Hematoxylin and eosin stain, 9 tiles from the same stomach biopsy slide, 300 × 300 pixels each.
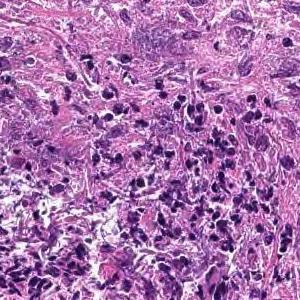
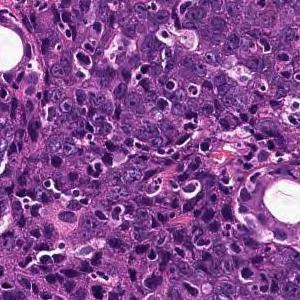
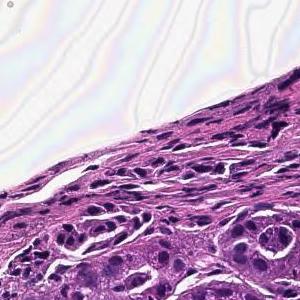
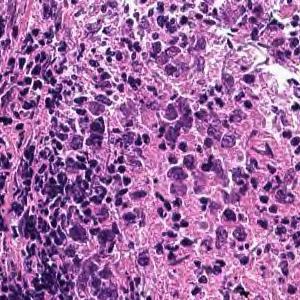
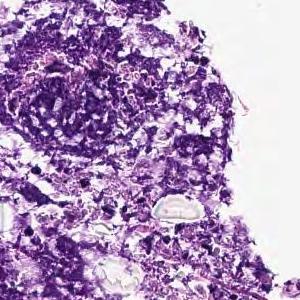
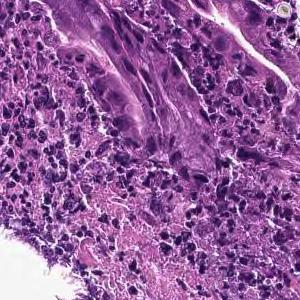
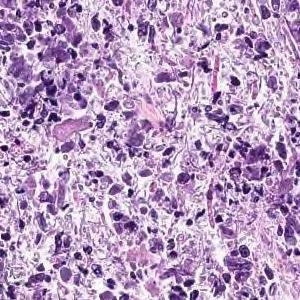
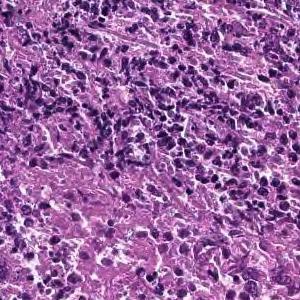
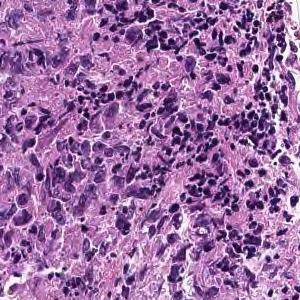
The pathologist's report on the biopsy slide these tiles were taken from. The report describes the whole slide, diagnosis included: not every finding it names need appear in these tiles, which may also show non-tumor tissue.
Cancers with polygonal nuclei do not show glandular formation and are densely, in part, cord-like and proliferate. Poorly differentiated adenocarcinoma
Classified as poorly differentiated adenocarcinoma, non-solid type.
The term "non-solid type" comes from the Japanese Classification of Gastric Carcinoma.
